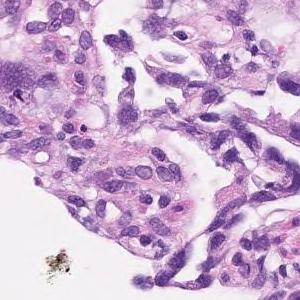
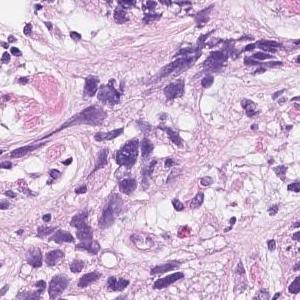
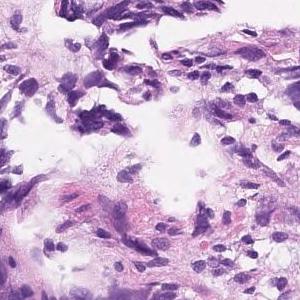
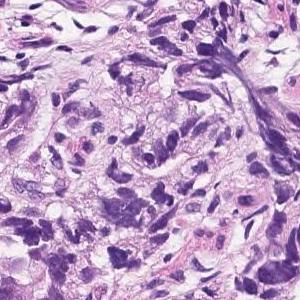
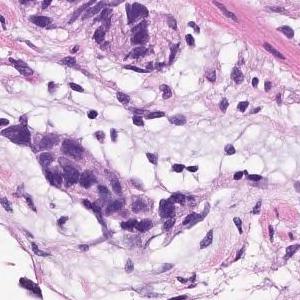
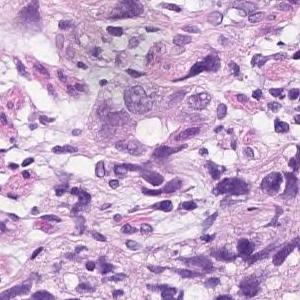
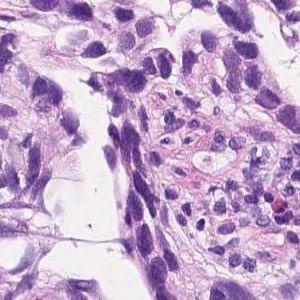
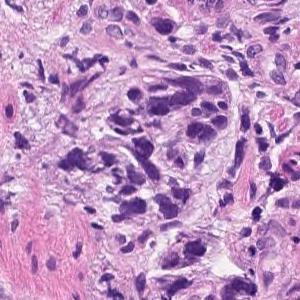
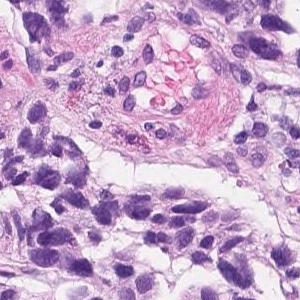
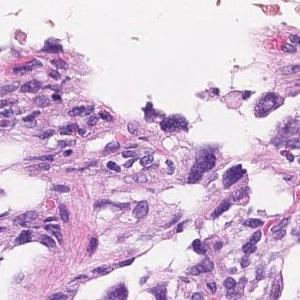
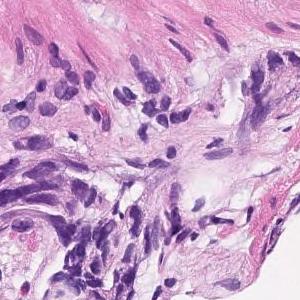
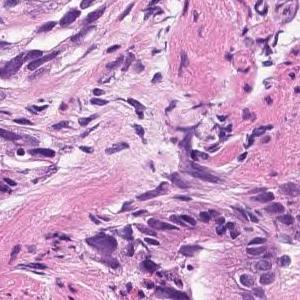
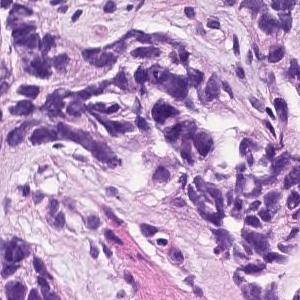
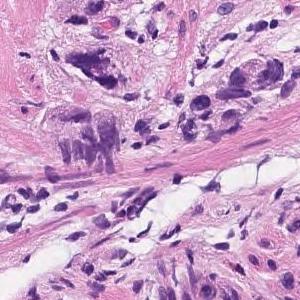
H&E stain; 14 image tiles from a single gastric biopsy slide; 300 × 300 pixels each.
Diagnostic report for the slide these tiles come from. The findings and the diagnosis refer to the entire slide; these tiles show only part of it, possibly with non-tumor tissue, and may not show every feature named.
In the superficial epithelium, tumor tissue that invades by forming medium-sized to small, irregular ducts is observed. Moderately differentiated adenocarcinoma.
Tumor subtype: moderately differentiated tubular adenocarcinoma.
